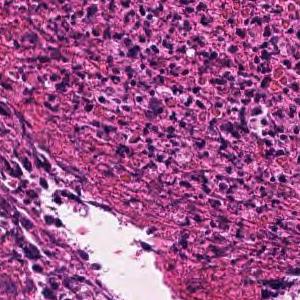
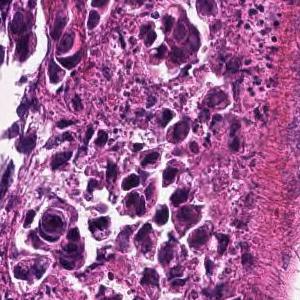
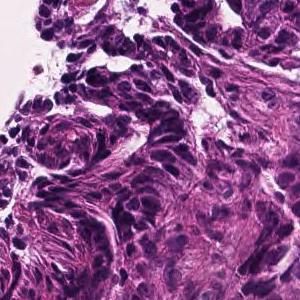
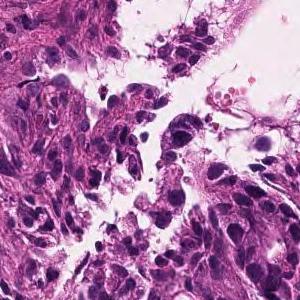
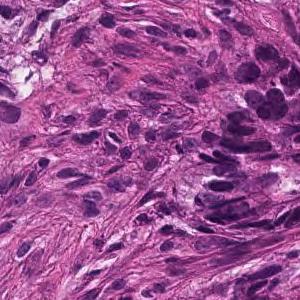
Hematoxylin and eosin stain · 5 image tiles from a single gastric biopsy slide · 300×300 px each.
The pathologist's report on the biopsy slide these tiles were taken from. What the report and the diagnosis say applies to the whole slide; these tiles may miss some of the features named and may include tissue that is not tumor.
In the superficial epithelium, tumor tissue that invades by forming medium-sized to small, irregular ducts is observed. moderately differentiated tubular adenocarcinoma.
